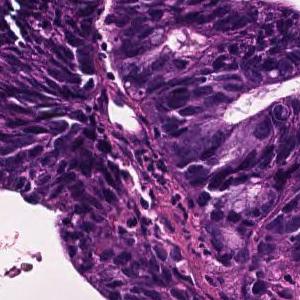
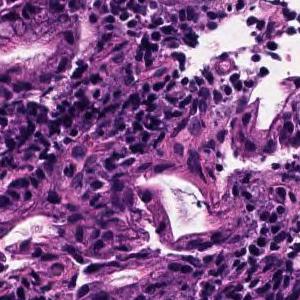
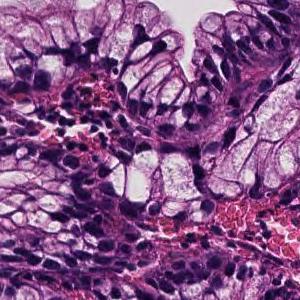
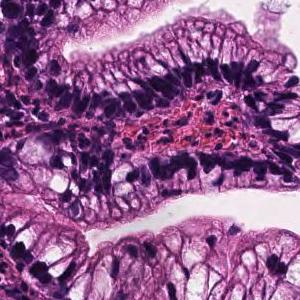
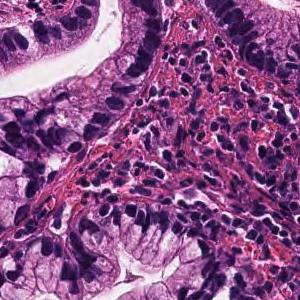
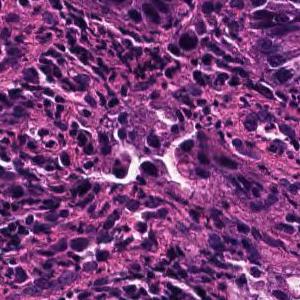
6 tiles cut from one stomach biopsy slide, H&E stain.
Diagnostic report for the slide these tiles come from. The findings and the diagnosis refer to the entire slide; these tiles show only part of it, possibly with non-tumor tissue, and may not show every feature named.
Tumor cells are large, highly columnar, large club-shaped nuclei, and are associated with chromatin aggregation. Papillary adenocarcinoma.
